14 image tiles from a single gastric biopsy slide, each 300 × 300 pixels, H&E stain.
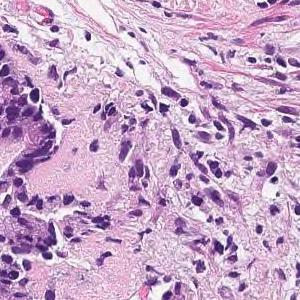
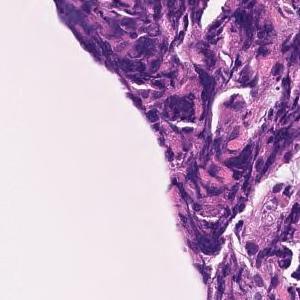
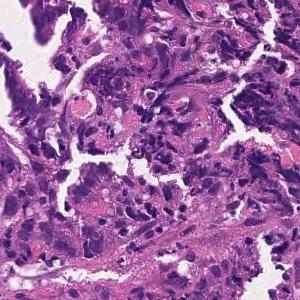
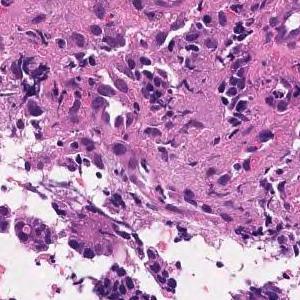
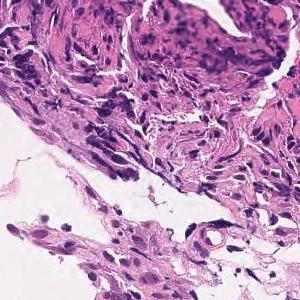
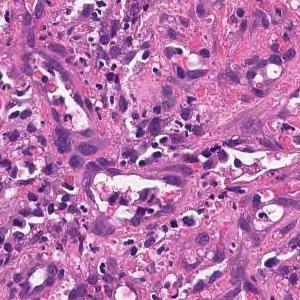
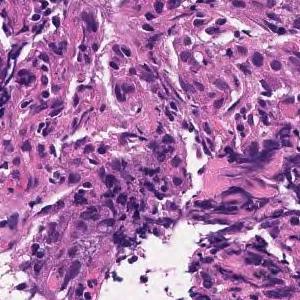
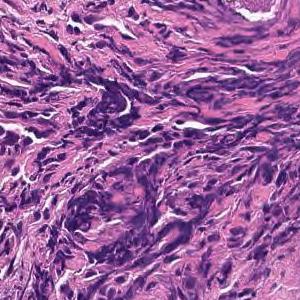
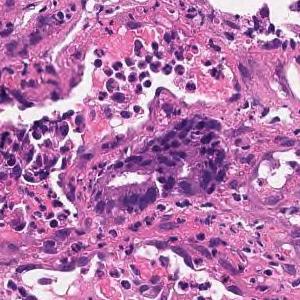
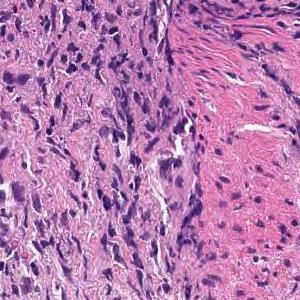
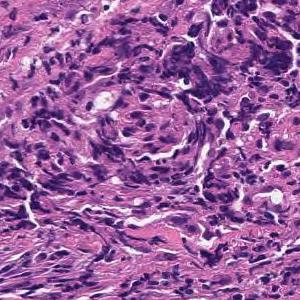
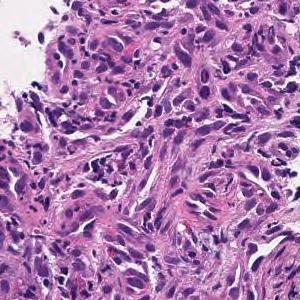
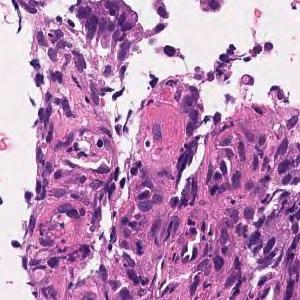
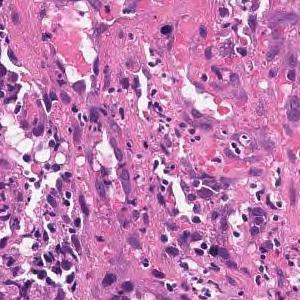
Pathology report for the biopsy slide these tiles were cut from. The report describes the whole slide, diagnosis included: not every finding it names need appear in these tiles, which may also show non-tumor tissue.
Tumor tissue consisting of medium-sized, cord-like or irregular glandular infiltration is observed in the superficial epithelium. Poorly differentiated adenocarcinoma, non-solid type or moderately differentiated tubular adenocarcinoma
Histological subtype: Moderately to poorly differentiated adenocarcinoma.
The term "non-solid type" comes from the Japanese Classification of Gastric Carcinoma.
